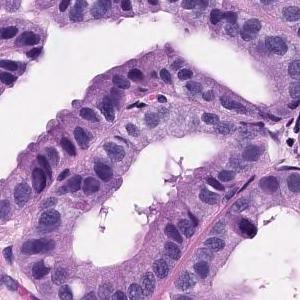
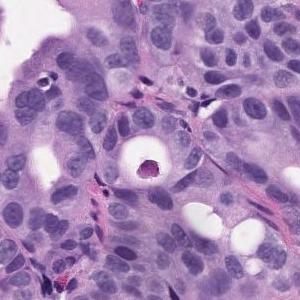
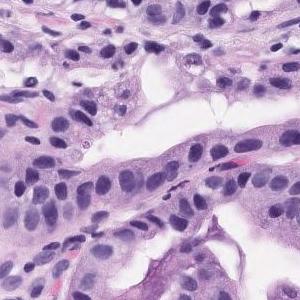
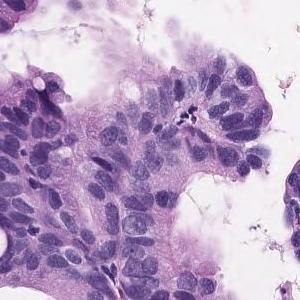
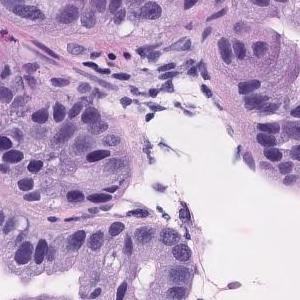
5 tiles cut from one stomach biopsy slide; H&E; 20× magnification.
Pathology report for the biopsy slide these tiles were cut from. The report and the diagnosis cover the entire slide, so not every feature they name need be visible here, and some tissue shown may not be tumor.
Tumor tissue consisting of medium-sized and irregular ducts is observed infiltrating in the superficial epithelium. Tumor cells are highly columnar, with nuclei aligned basolaterally and polarized. Well differentiated tubular adenocarcinoma.
